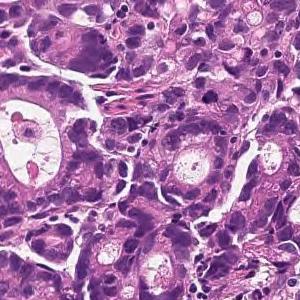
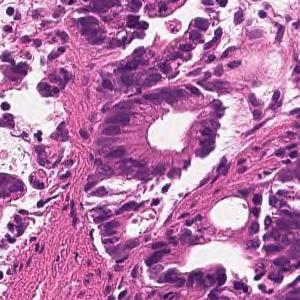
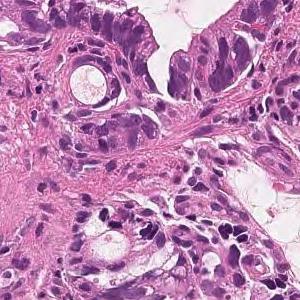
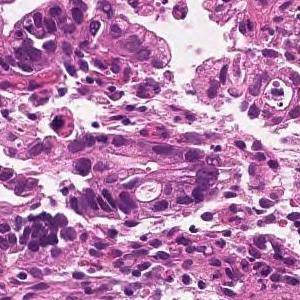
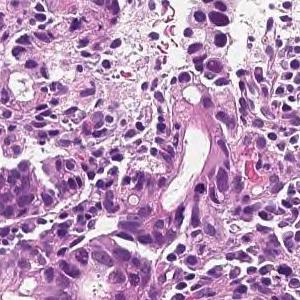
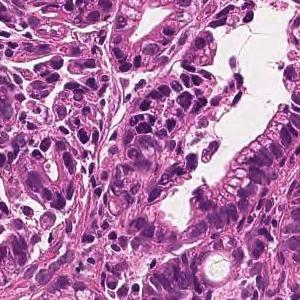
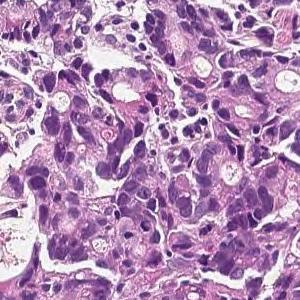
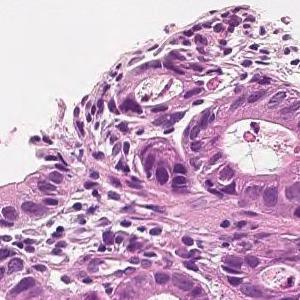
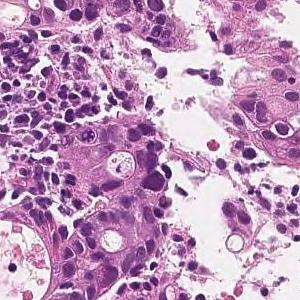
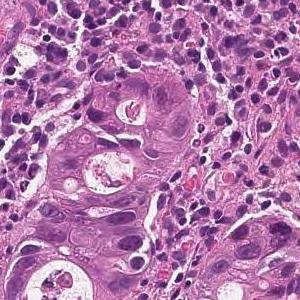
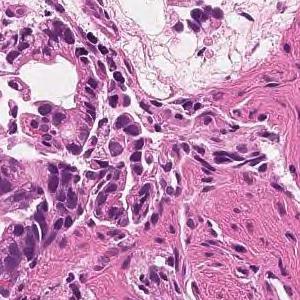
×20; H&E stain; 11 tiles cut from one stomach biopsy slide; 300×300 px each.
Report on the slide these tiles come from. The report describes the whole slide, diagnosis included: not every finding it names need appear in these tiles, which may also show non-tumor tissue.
On the superficial epithelium, tumor tissue is found in which medium-sized irregular gland ducts fuse with each other and infiltrate. moderately differentiated tubular adenocarcinoma
